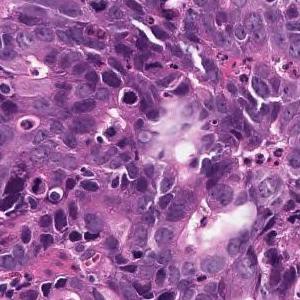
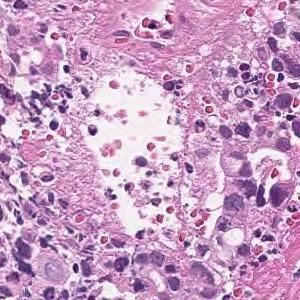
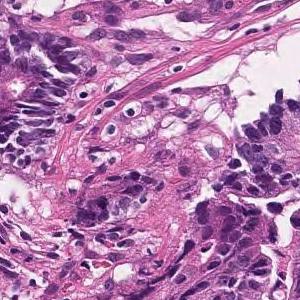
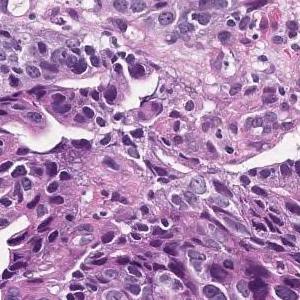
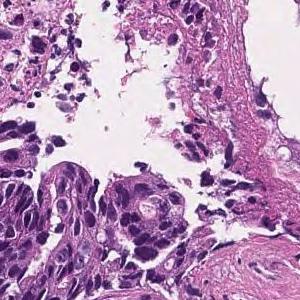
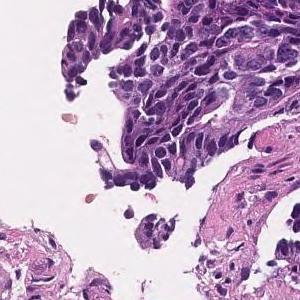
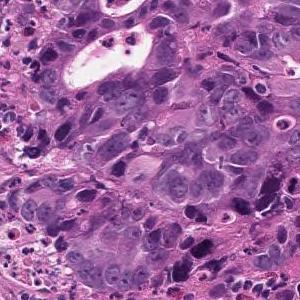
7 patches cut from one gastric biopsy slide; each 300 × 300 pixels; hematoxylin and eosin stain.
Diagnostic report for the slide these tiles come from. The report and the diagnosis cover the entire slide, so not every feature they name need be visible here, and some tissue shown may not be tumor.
In the superficial epithelium, tumor tissue that invades by forming medium-sized to small, irregular ducts is observed. moderately differentiated tubular adenocarcinoma.
